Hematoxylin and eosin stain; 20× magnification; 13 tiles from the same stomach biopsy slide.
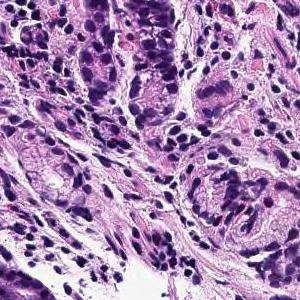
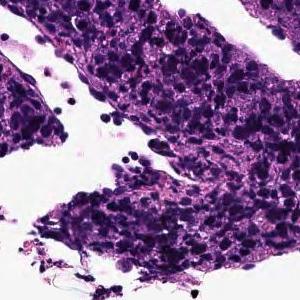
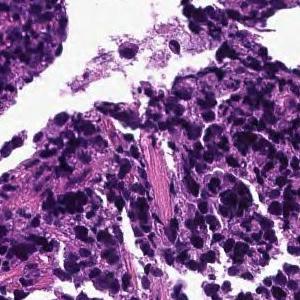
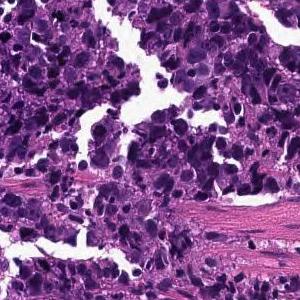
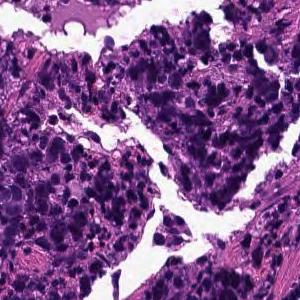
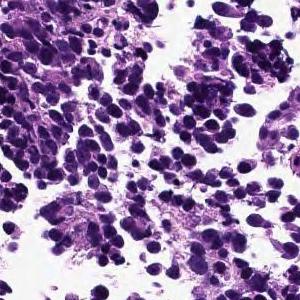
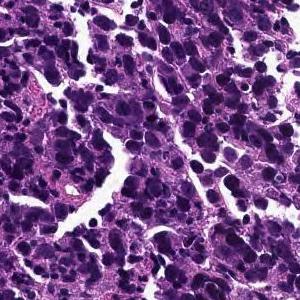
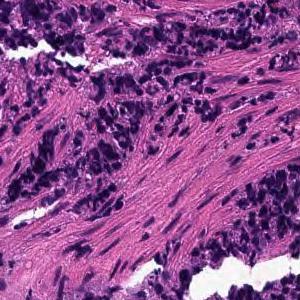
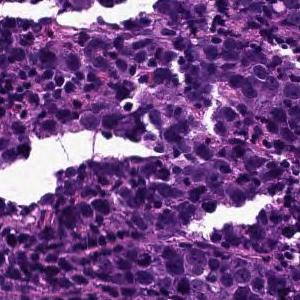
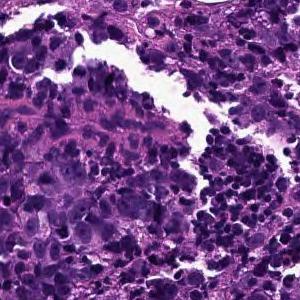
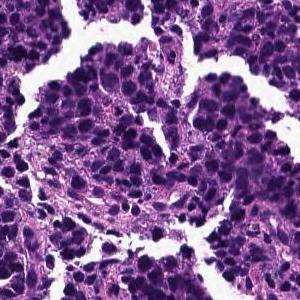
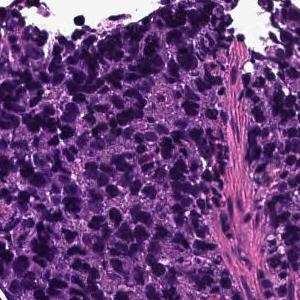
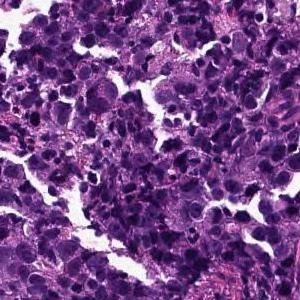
The pathologist's report on the biopsy slide these tiles were taken from. Both the report and the diagnosis are for the whole slide: these tiles need not show every feature named, and some of the tissue shown may not be tumor.
The superficial epithelium shows large alveolar or sheet-like forms, and some tumor tissue infiltrates with small irregular ducts. Poorly differentiated adenocarcinoma, solid-type
Subtype: Poorly differentiated adenocarcinoma, solid type (Japanese Classification of Gastric Carcinoma). The WHO 2019 equivalent is tubular adenocarcinoma, poorly differentiated.
